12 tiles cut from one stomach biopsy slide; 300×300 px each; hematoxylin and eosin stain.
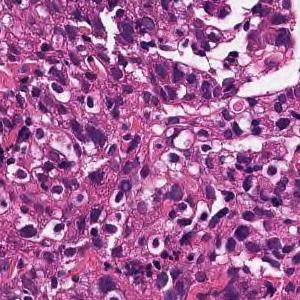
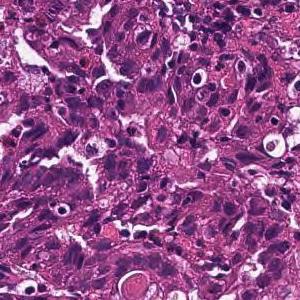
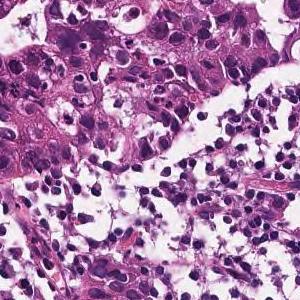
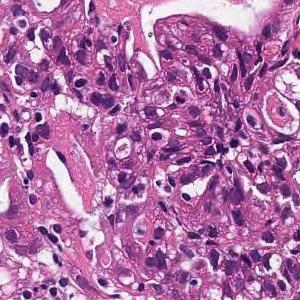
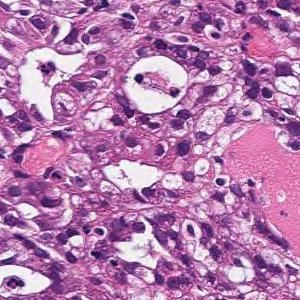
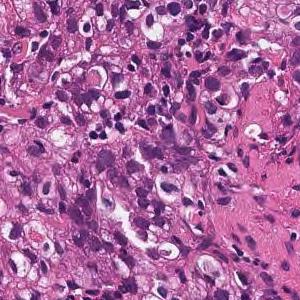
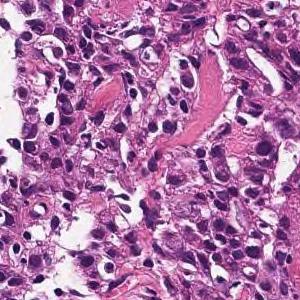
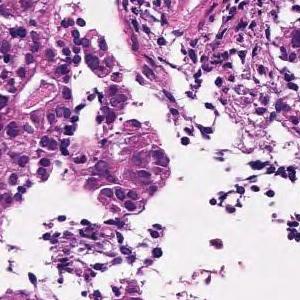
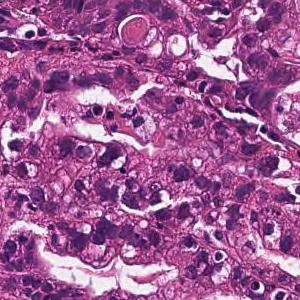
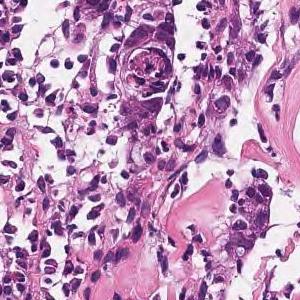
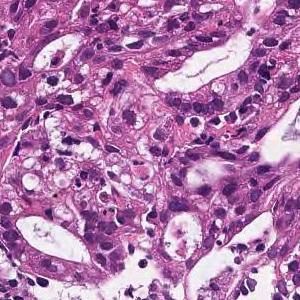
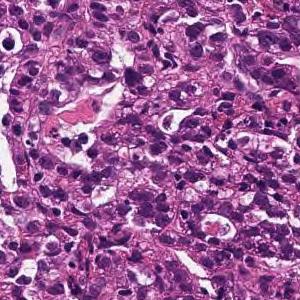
Pathology report for the slide these tiles were cut from. The report and the diagnosis describe the slide as a whole, so these tiles may not show every feature named and may include non-tumor tissue.
Tumor tissue consisting of cord-like or small, irregular glandular ducts fused and infiltrated is observed in the superficial epithelium. Poorly differentiated adenocarcinoma, non-solid type
"Non-solid type" is a category of the Japanese Classification of Gastric Carcinoma.
